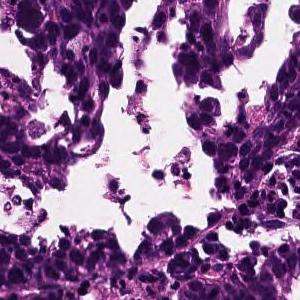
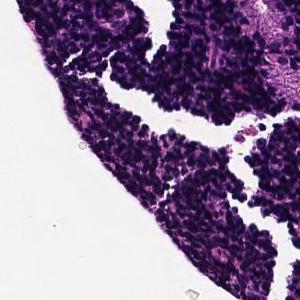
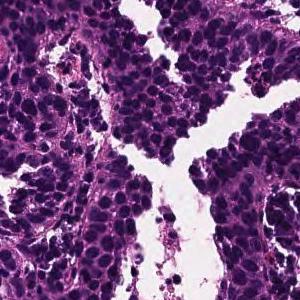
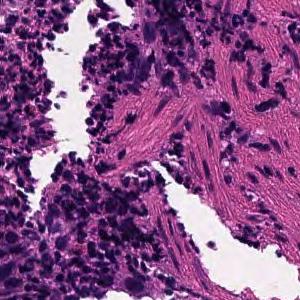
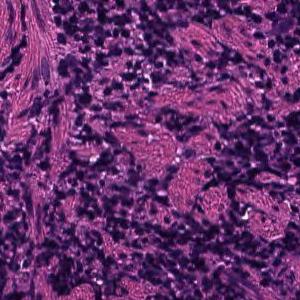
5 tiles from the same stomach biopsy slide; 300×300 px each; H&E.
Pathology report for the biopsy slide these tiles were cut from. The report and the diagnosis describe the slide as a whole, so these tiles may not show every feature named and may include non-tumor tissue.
Tumor tissue consisting of cord-like or small, irregular glandular ducts fused and infiltrated is observed in the superficial epithelium. Poorly differentiated adenocarcinoma, non-solid type
The term "non-solid type" comes from the Japanese Classification of Gastric Carcinoma.
